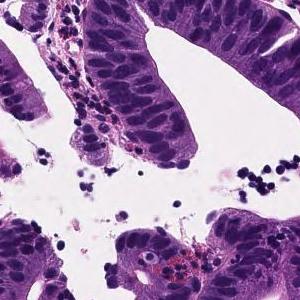
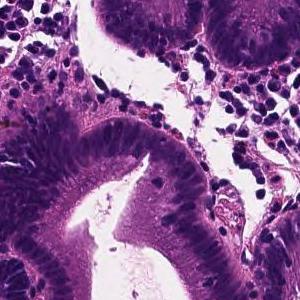
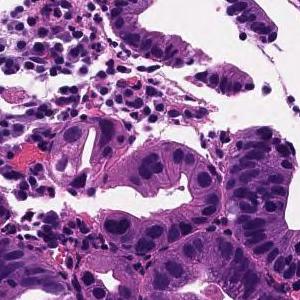
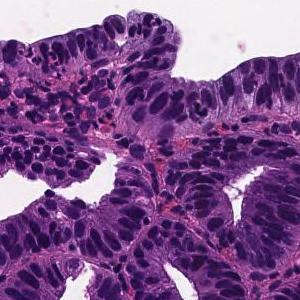
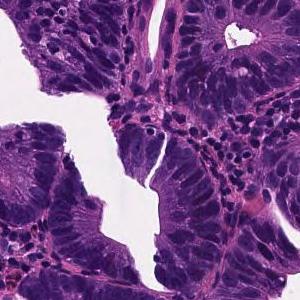
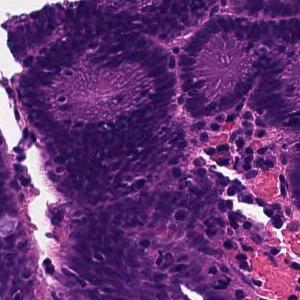
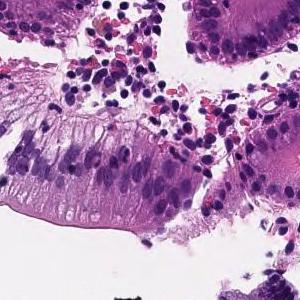
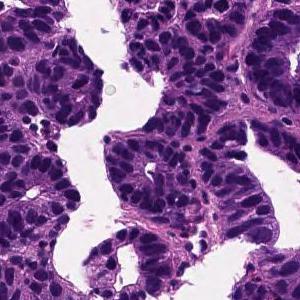
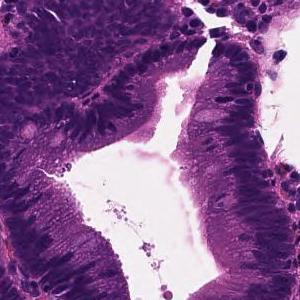
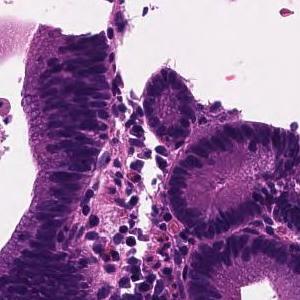
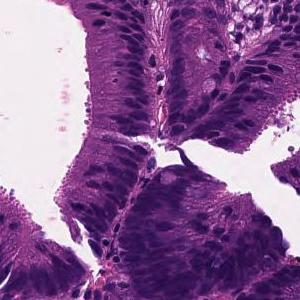
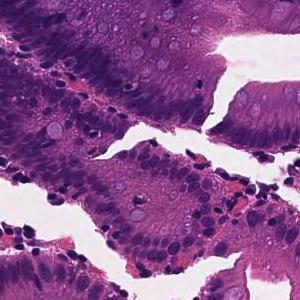
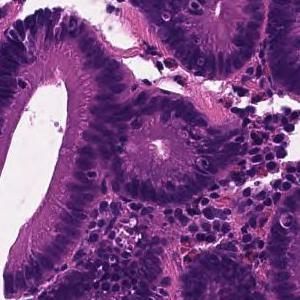
Hematoxylin and eosin stain, 13 tiles from the same stomach biopsy slide.
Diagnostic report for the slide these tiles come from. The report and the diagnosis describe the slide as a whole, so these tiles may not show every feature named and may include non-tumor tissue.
Tumor tissue in which medium to small irregular ducts infiltrate and proliferate in the submucosa can be seen in the epithelium. Well differentiated tubular adenocarcinoma
